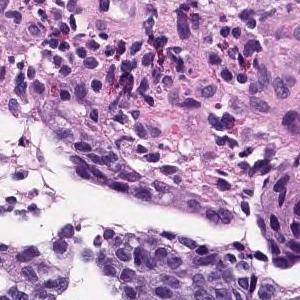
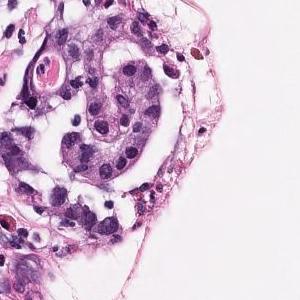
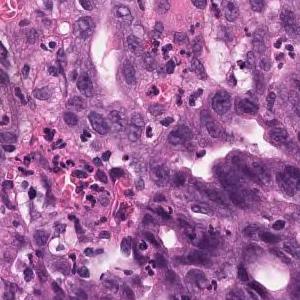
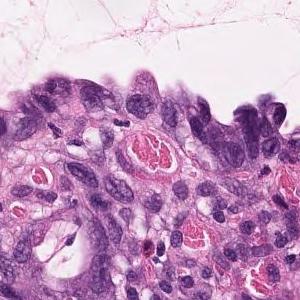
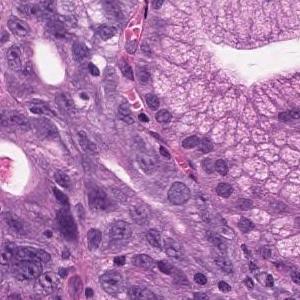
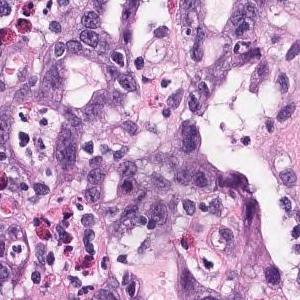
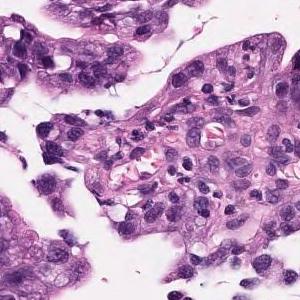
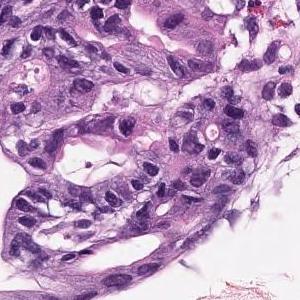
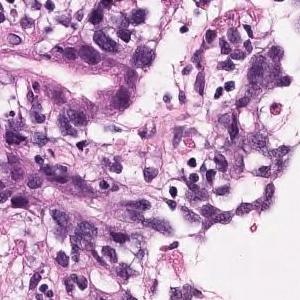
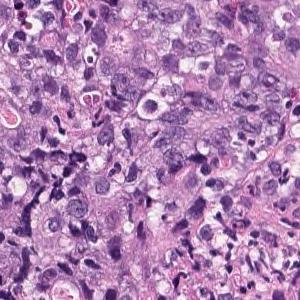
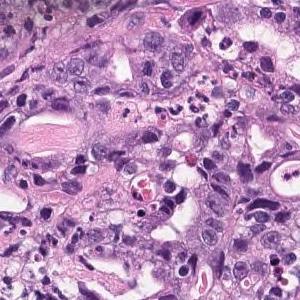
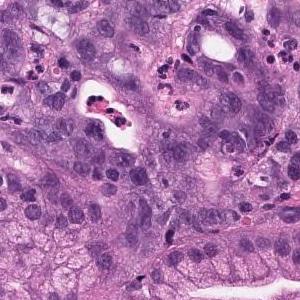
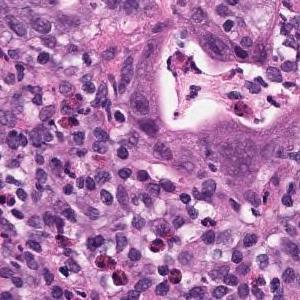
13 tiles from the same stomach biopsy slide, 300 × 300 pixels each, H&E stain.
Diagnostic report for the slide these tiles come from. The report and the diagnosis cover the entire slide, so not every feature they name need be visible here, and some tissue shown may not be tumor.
Atypical ducts proliferating with obscure duct construction and solid sequences is observed. Moderately to poorly differentiated adenocarcinoma.
